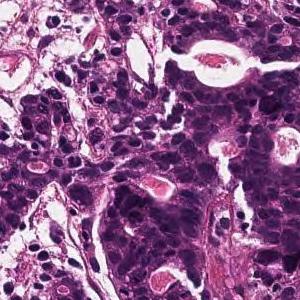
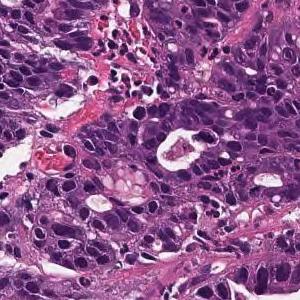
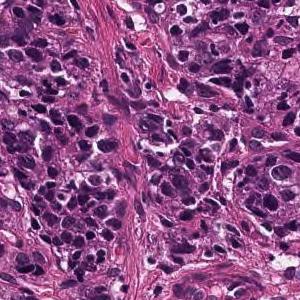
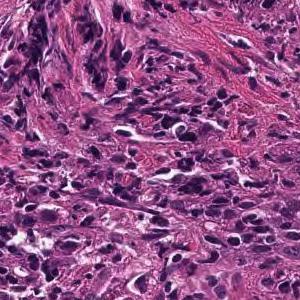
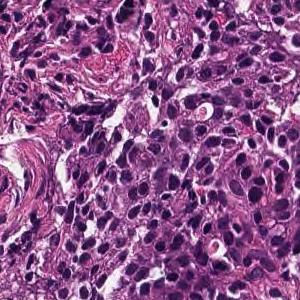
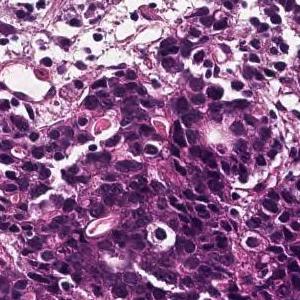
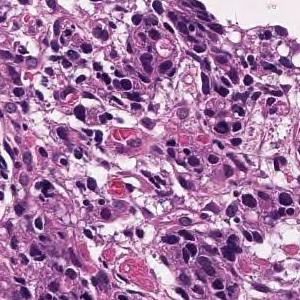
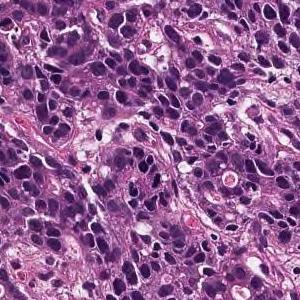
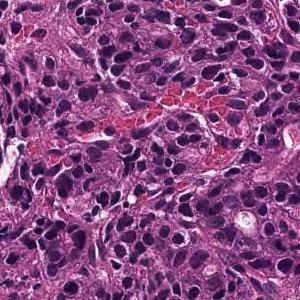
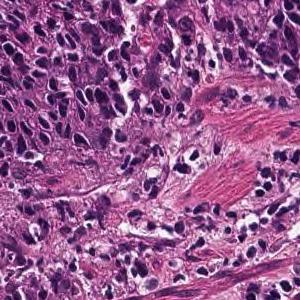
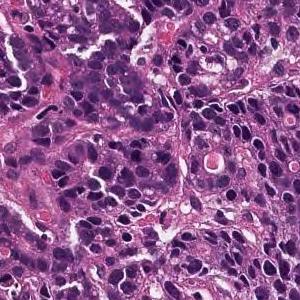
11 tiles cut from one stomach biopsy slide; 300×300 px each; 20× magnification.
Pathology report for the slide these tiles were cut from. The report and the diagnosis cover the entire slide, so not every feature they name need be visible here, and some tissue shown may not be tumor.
Medium to small, irregular glandular ducts are formed in the superficial epithelium, and in some cases, the glandular ducts are fused to show solid alveolar lesions and infiltrating tumor tissue is observed. Moderately to poorly differentiated adenocarcinoma.
